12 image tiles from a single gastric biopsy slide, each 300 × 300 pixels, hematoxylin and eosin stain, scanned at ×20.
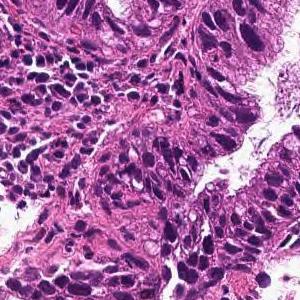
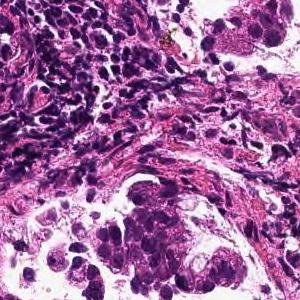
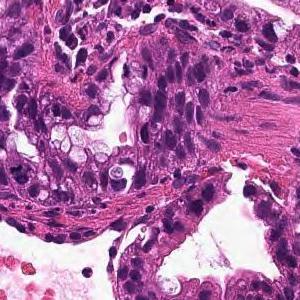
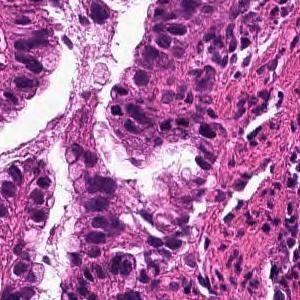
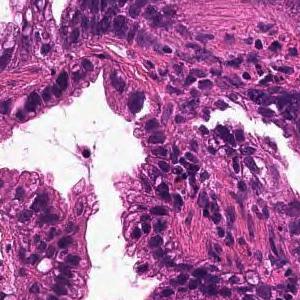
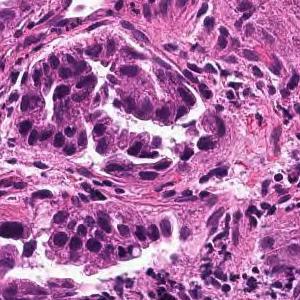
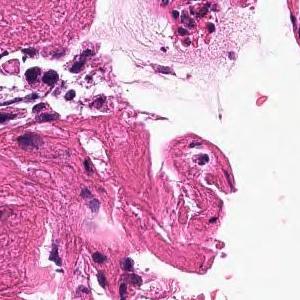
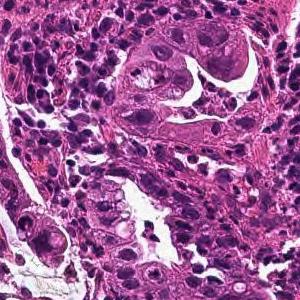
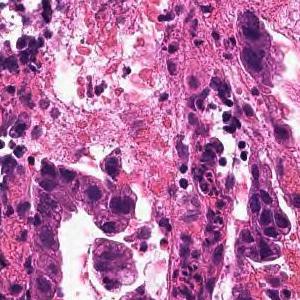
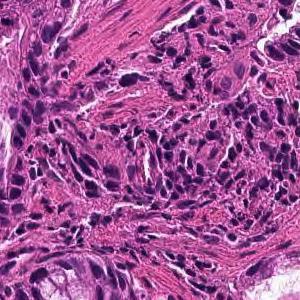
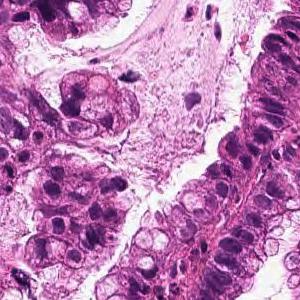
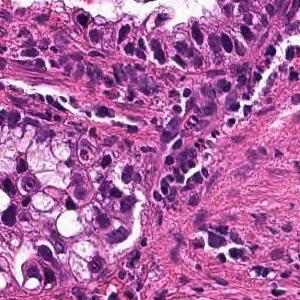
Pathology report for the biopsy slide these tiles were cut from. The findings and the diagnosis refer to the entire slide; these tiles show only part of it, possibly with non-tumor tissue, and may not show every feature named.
From the superficial epithelium to the muscularis mucosae, tumor tissue infiltrating by forming medium-sized irregular gland ducts is observed. Well differentiated tubular adenocarcinoma
